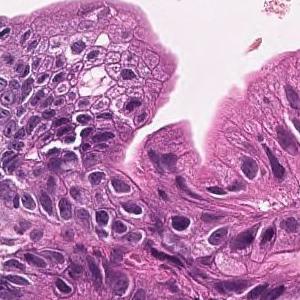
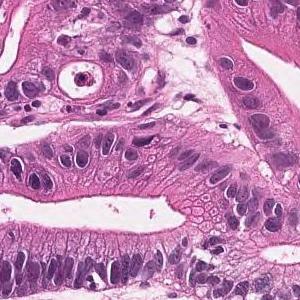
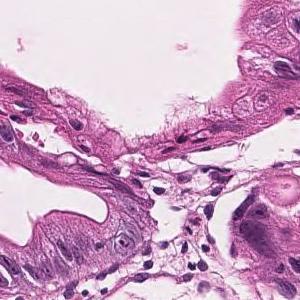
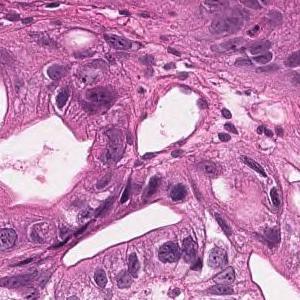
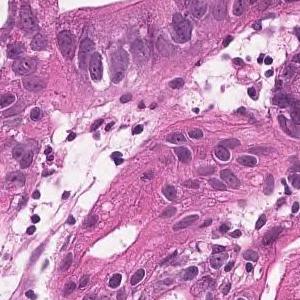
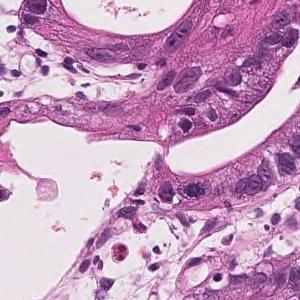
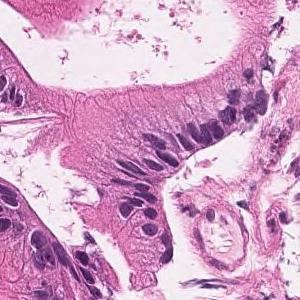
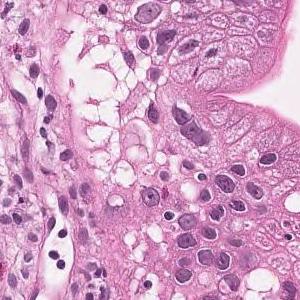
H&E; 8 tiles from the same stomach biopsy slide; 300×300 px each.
Pathology report for the slide these tiles were cut from. What the report and the diagnosis say applies to the whole slide; these tiles may miss some of the features named and may include tissue that is not tumor.
On the superficial epithelium, tumor tissue that infiltrates by forming medium-sized papillary or small irregular ducts is observed. Papillary adenocarcinoma
